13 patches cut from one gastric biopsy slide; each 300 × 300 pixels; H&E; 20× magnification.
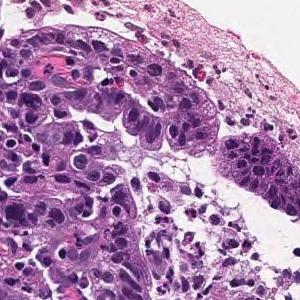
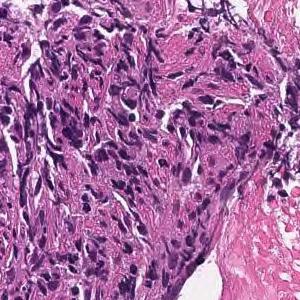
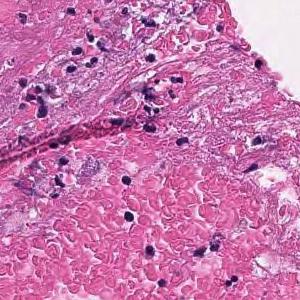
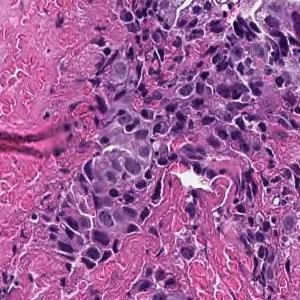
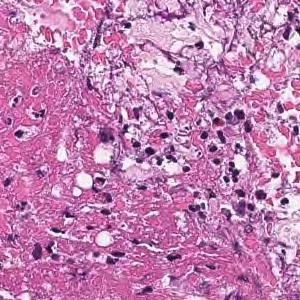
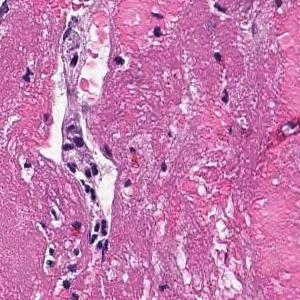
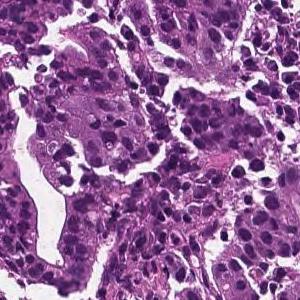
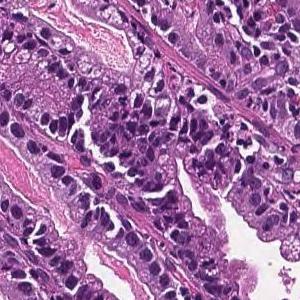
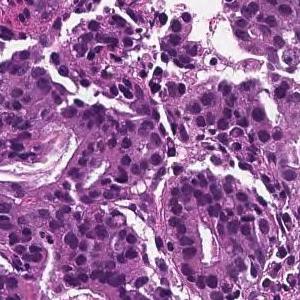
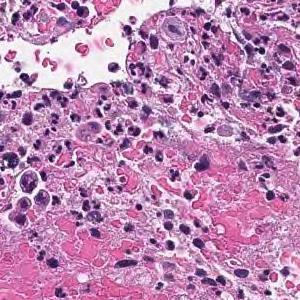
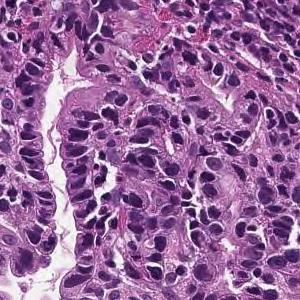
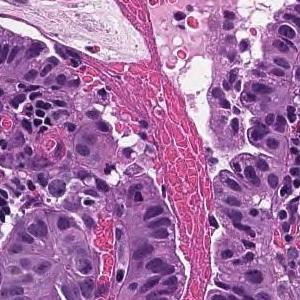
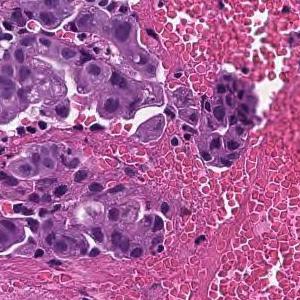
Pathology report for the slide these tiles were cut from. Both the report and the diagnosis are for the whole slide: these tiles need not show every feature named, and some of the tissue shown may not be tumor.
On the superficial epithelium, tumor tissue that infiltrates by forming medium-sized papillary or small irregular ducts is observed. Papillary adenocarcinoma
